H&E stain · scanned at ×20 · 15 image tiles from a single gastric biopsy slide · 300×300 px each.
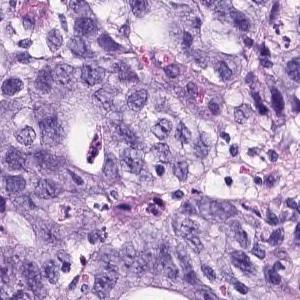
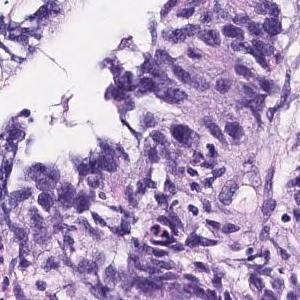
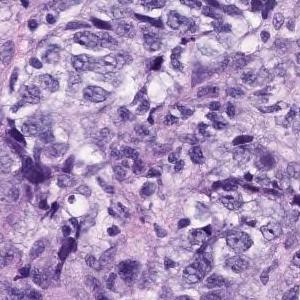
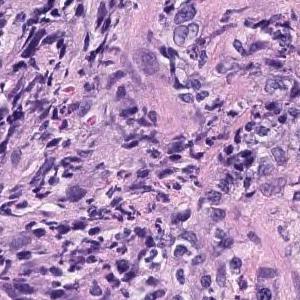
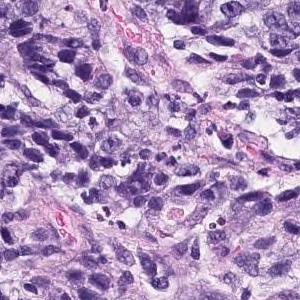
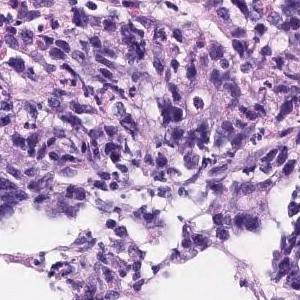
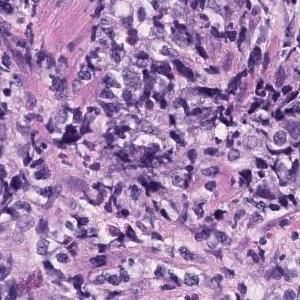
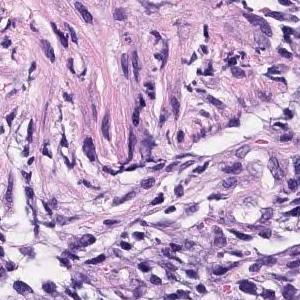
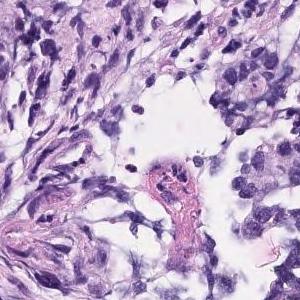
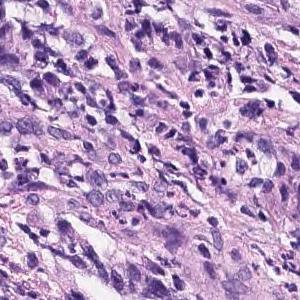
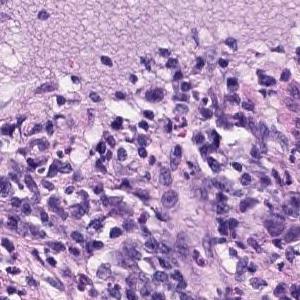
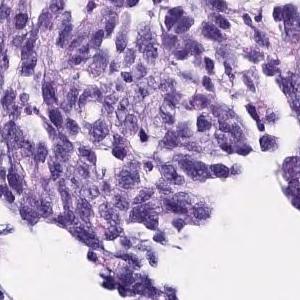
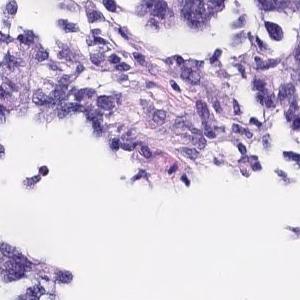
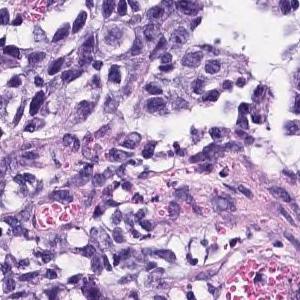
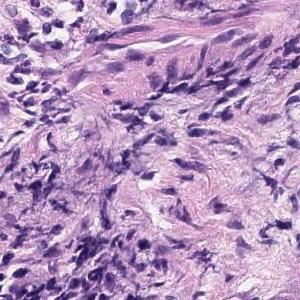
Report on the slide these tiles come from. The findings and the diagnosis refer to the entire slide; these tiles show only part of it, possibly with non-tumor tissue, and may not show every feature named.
The superficial epithelium shows a large sheet-like shape, and some tumor tissue infiltrates with small irregular ducts. Poorly differentiated adenocarcinoma, solid-type
Histologic type: Poorly differentiated adenocarcinoma, solid type (Japanese Classification of Gastric Carcinoma). The WHO 2019 equivalent is tubular adenocarcinoma, poorly differentiated.
